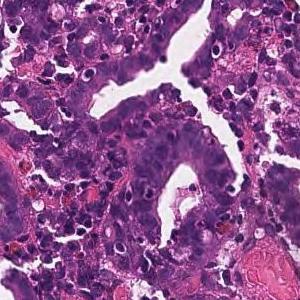
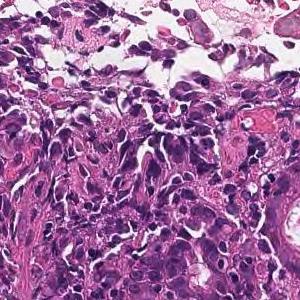
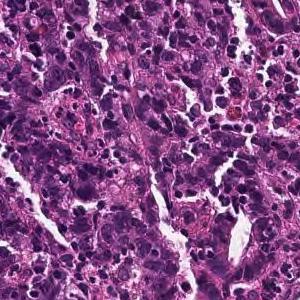
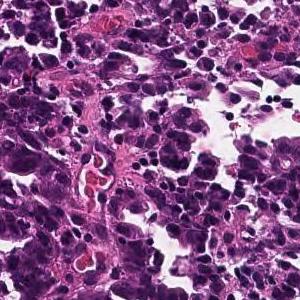
H&E; 4 tiles cut from one stomach biopsy slide; 300×300 px each.
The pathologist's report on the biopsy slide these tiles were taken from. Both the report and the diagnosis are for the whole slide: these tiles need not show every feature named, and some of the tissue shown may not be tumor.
In the superficial epithelium, tumor tissue that invades by forming medium-sized to small, irregular ducts is observed. moderately differentiated tubular adenocarcinoma.
